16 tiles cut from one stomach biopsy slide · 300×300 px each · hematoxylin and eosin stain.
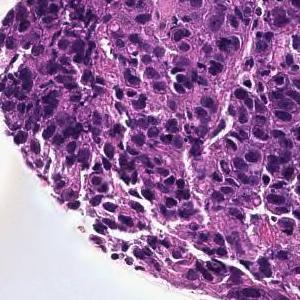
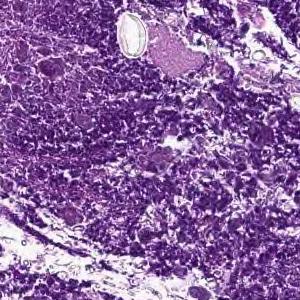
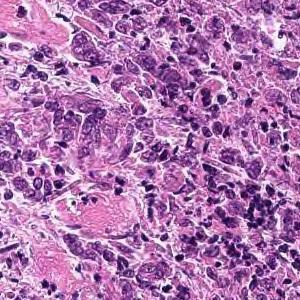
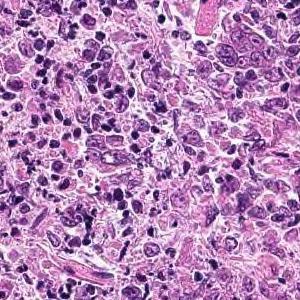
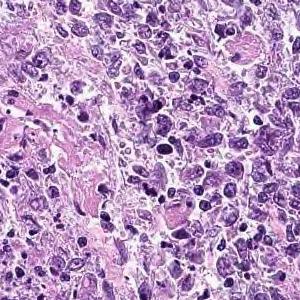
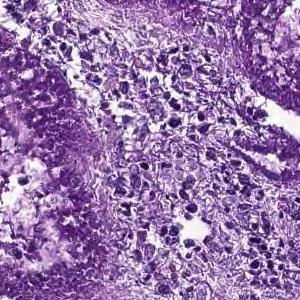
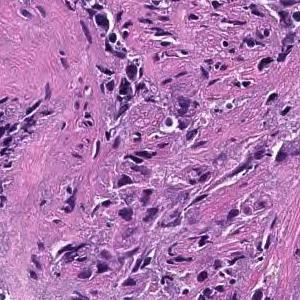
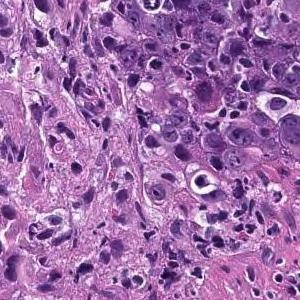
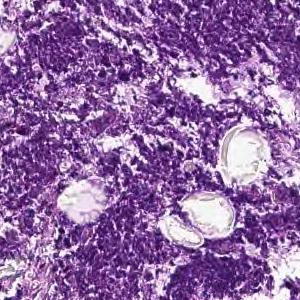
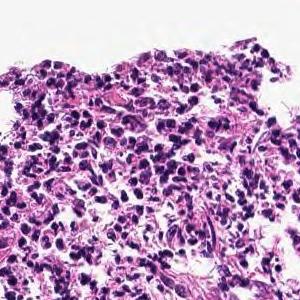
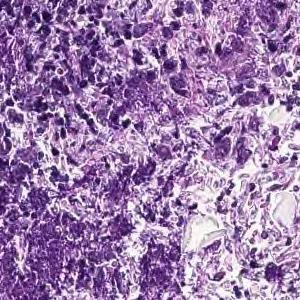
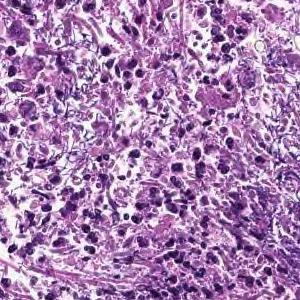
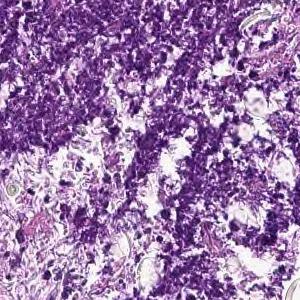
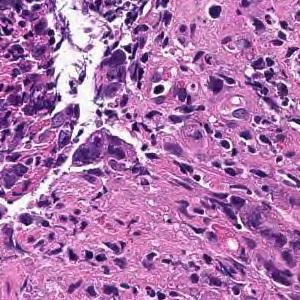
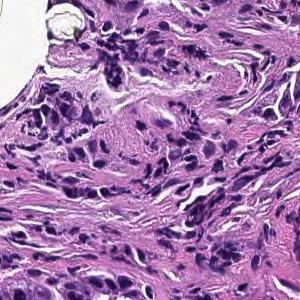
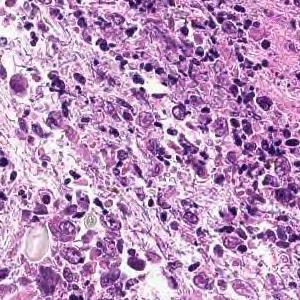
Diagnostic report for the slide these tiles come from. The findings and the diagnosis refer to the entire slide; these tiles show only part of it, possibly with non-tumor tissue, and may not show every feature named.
Cancers with polygonal nuclei do not show glandular formation and are densely, in part, cord-like and proliferate. Poorly differentiated adenocarcinoma
Classified as poorly differentiated adenocarcinoma, non-solid type.
"Non-solid type" is a category of the Japanese Classification of Gastric Carcinoma.
